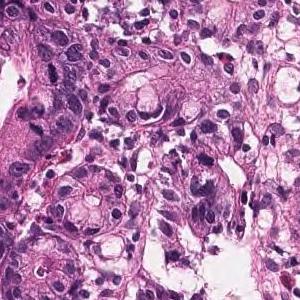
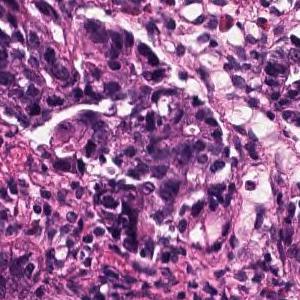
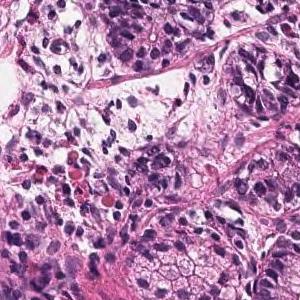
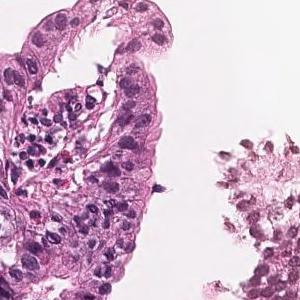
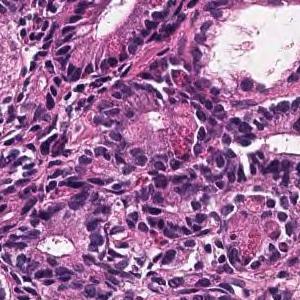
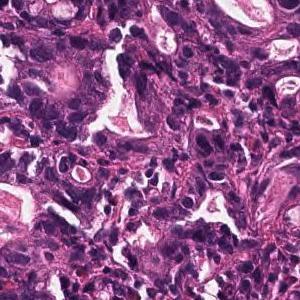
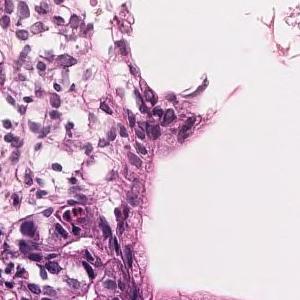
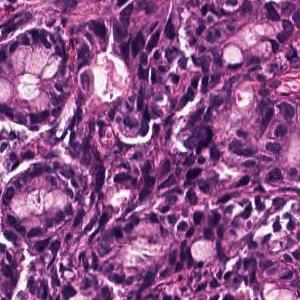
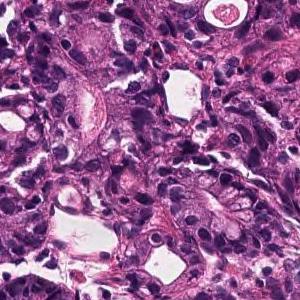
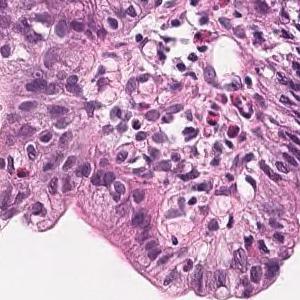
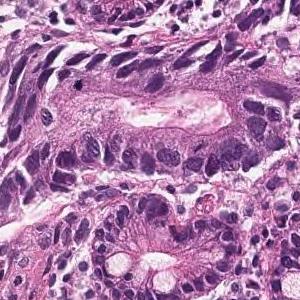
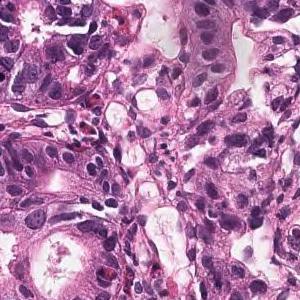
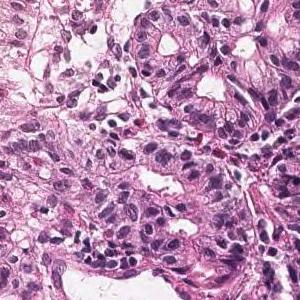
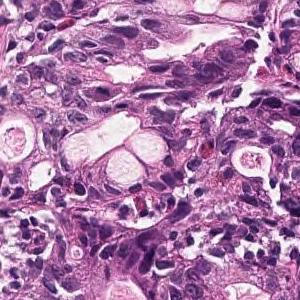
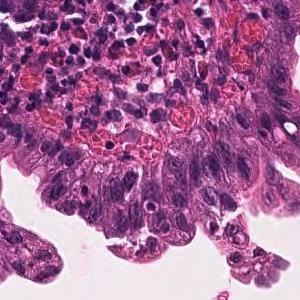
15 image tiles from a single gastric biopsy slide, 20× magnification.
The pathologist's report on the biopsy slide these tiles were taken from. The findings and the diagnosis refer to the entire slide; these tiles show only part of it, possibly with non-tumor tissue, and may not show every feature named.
On the superficial epithelium, tumor tissue consisting of large, irregular glandular ducts partially fused and infiltrated is observed. Well to moderately differentiated tubular adenocarcinoma (well differentiated tubular adenocarcinoma, moderately differentiated tubular adenocarcinoma)
Histological subtype: Well to moderately differentiated tubular adenocarcinoma.
